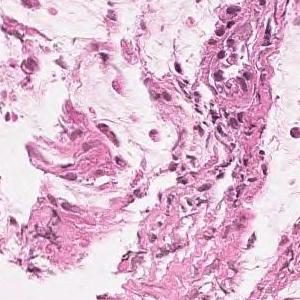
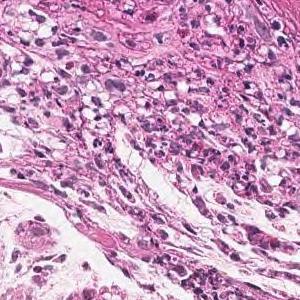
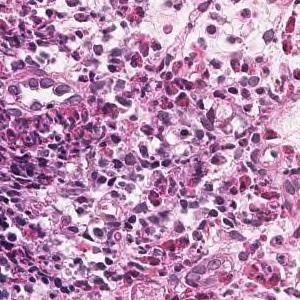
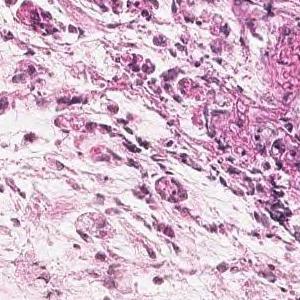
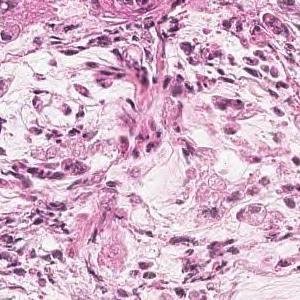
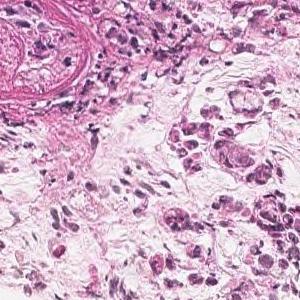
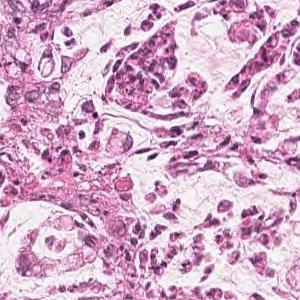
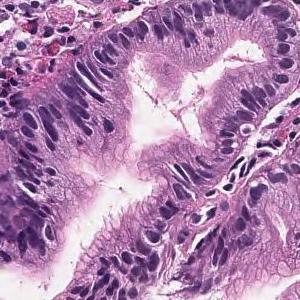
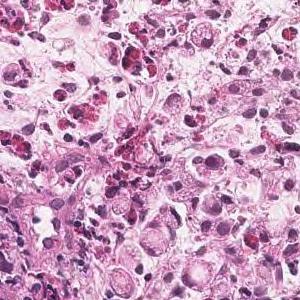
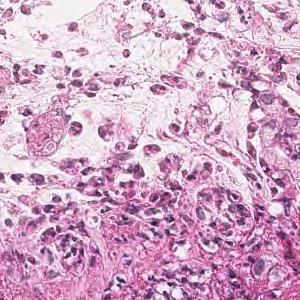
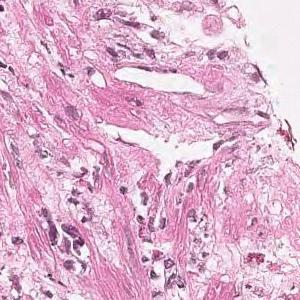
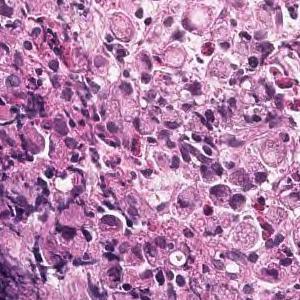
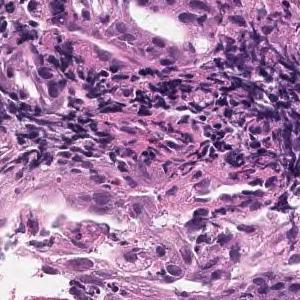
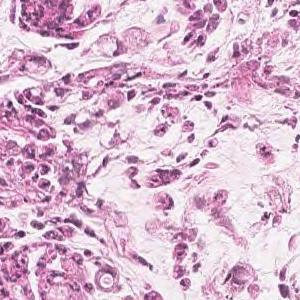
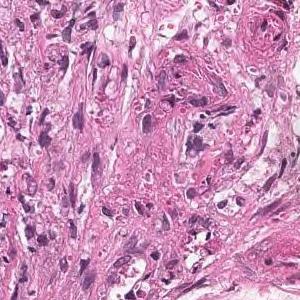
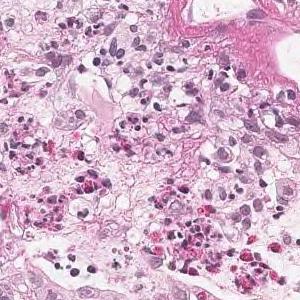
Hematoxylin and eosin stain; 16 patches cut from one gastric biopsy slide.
Report on the slide these tiles come from. The findings and the diagnosis refer to the entire slide; these tiles show only part of it, possibly with non-tumor tissue, and may not show every feature named.
Tumor tissue is observed in which atypical epithelial cells with mucus in the vesicles proliferate while being isolated. Signet ring cell carcinoma
